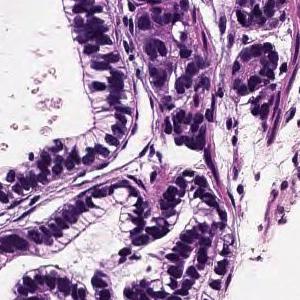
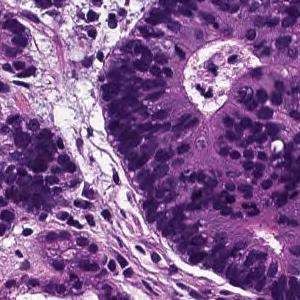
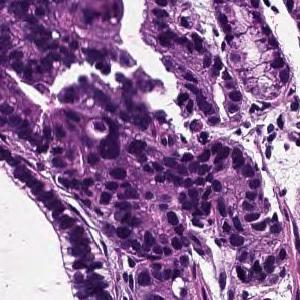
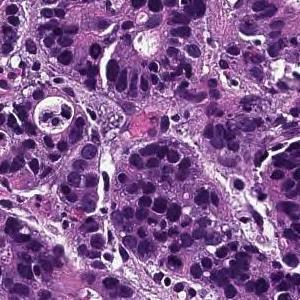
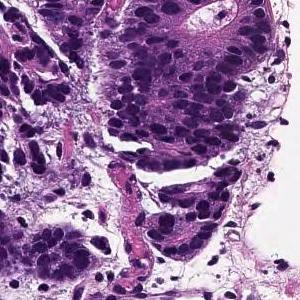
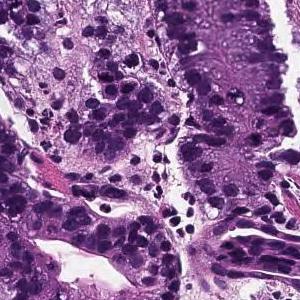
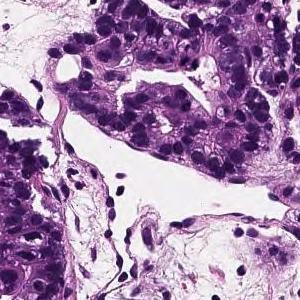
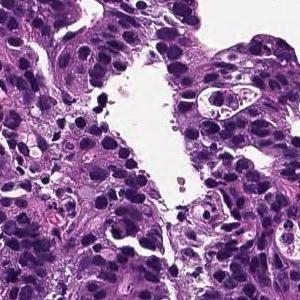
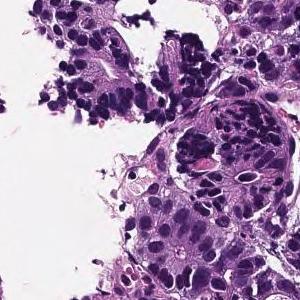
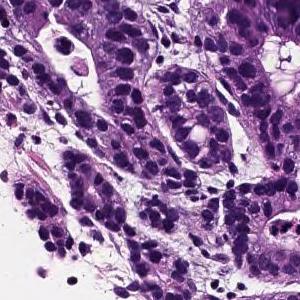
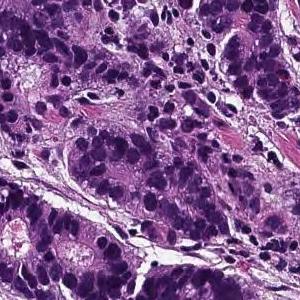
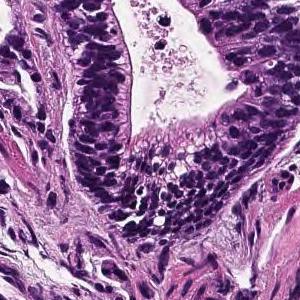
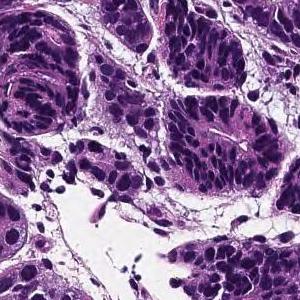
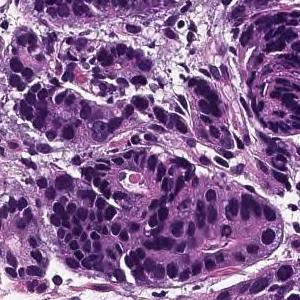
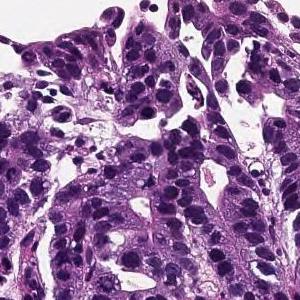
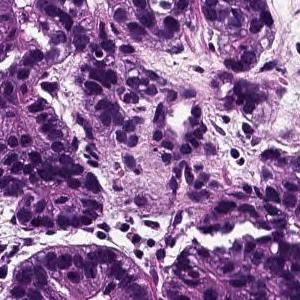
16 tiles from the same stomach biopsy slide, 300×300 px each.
Pathology report for the biopsy slide these tiles were cut from. Both the report and the diagnosis are for the whole slide: these tiles need not show every feature named, and some of the tissue shown may not be tumor.
On the superficial epithelium, tumor tissue is found in which medium-sized irregular gland ducts fuse with each other and infiltrate. moderately differentiated tubular adenocarcinoma
